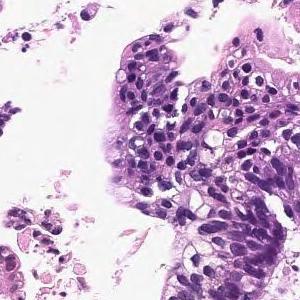
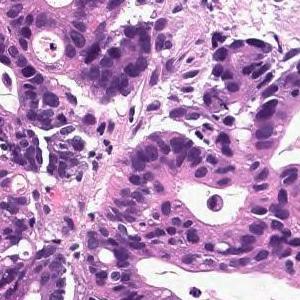
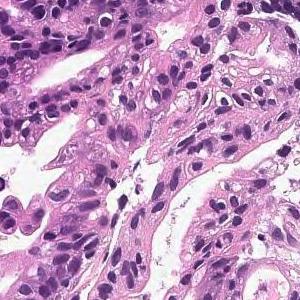
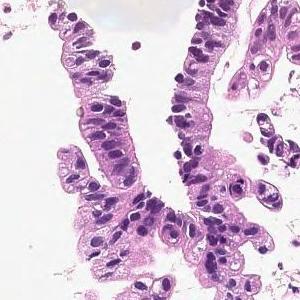
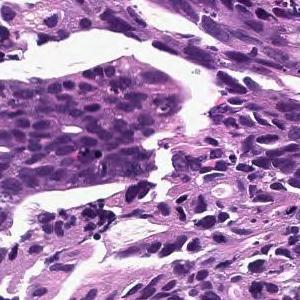
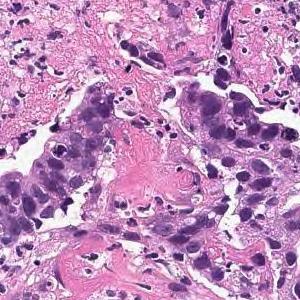
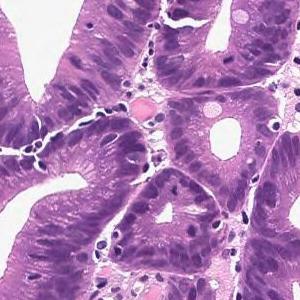
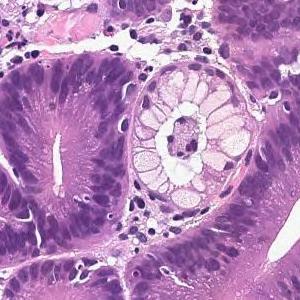
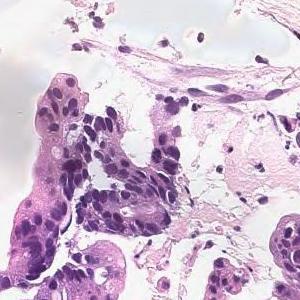
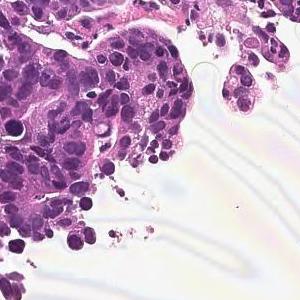
10 image tiles from a single gastric biopsy slide; each 300 × 300 pixels; hematoxylin and eosin stain; scanned at ×20.
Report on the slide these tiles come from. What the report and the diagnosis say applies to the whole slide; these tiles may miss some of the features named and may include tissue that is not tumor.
In the superficial epithelium, tumor tissue that invades by forming medium-sized to small, irregular ducts is observed. moderately differentiated tubular adenocarcinoma.
